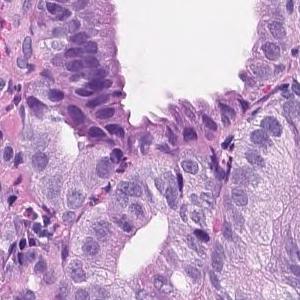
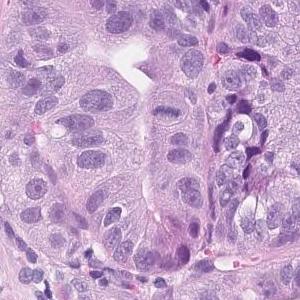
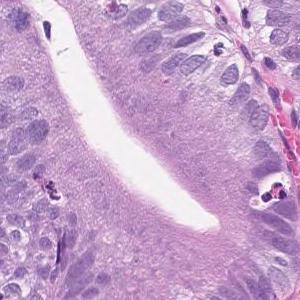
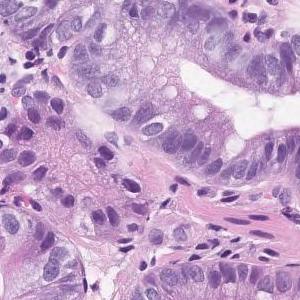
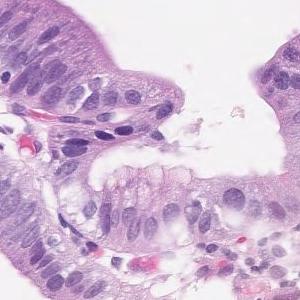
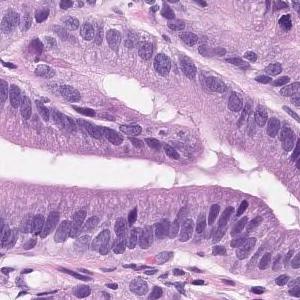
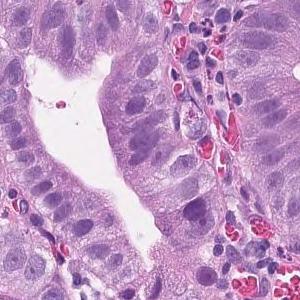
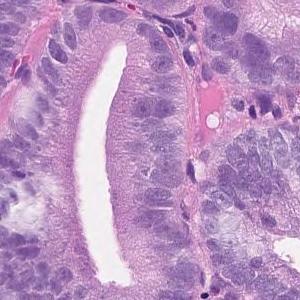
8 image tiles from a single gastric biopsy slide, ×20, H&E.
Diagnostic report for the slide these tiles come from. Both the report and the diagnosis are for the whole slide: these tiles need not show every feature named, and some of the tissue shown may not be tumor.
Tumor tissue consisting of medium-sized and irregular ducts is observed infiltrating in the superficial epithelium. Tumor cells are highly columnar, with nuclei aligned basolaterally and polarized. Well differentiated tubular adenocarcinoma.
